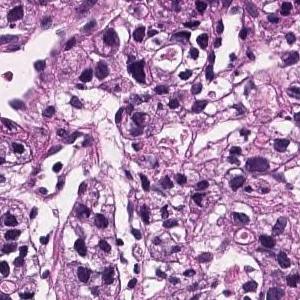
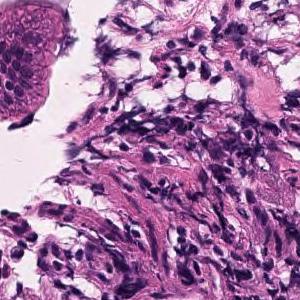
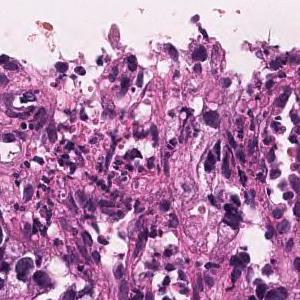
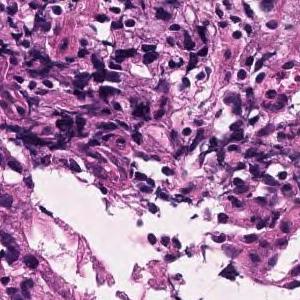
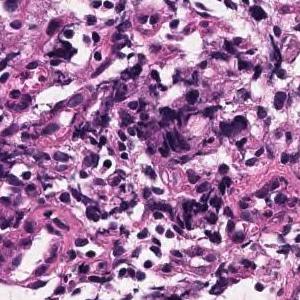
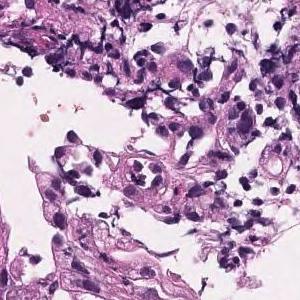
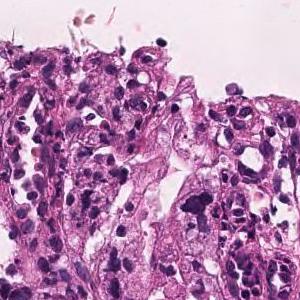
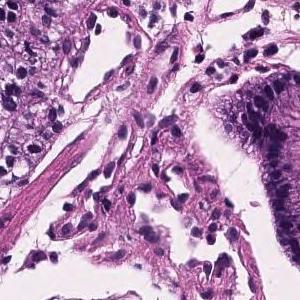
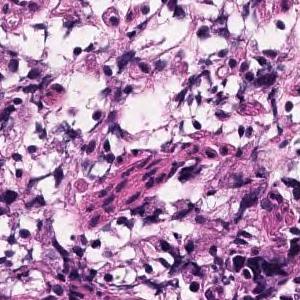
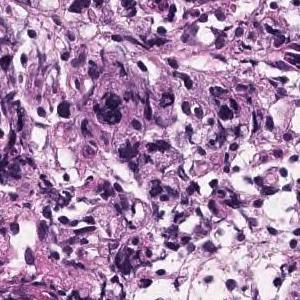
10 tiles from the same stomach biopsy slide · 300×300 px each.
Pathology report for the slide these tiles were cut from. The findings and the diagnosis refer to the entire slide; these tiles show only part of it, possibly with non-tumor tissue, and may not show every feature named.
Medium to small, irregular glandular ducts are formed in the superficial epithelium, and in some cases, the glandular ducts are fused to show solid alveolar lesions and infiltrating tumor tissue is observed. Moderately to poorly differentiated adenocarcinoma.
